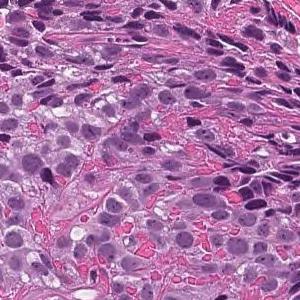
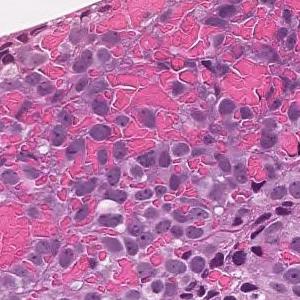
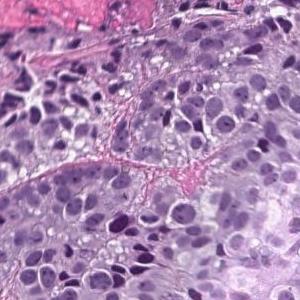
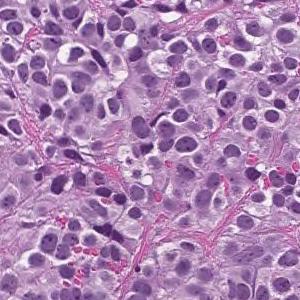
4 image tiles from a single gastric biopsy slide, scanned at ×20, hematoxylin and eosin stain.
Report on the slide these tiles come from. The report and the diagnosis cover the entire slide, so not every feature they name need be visible here, and some tissue shown may not be tumor.
The superficial epithelium shows a large sheet-like shape, and some tumor tissue infiltrates with small irregular ducts. Poorly differentiated adenocarcinoma, solid-type
Histological subtype: Poorly differentiated adenocarcinoma, solid type. This name comes from the Japanese Classification of Gastric Carcinoma; the WHO 2019 classification calls it tubular adenocarcinoma, poorly differentiated.
